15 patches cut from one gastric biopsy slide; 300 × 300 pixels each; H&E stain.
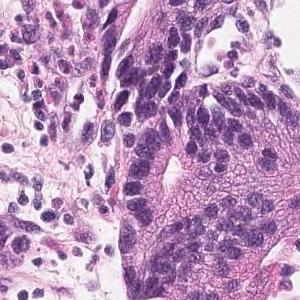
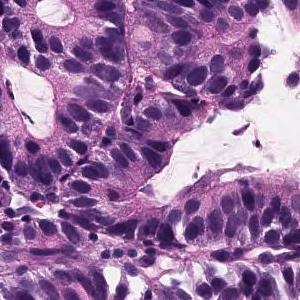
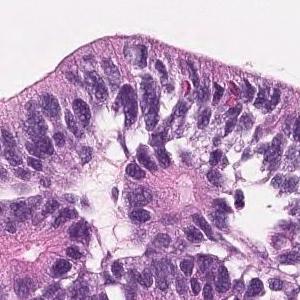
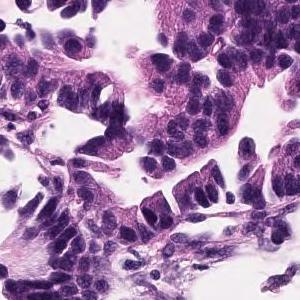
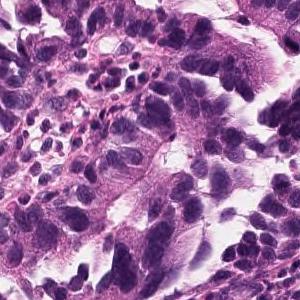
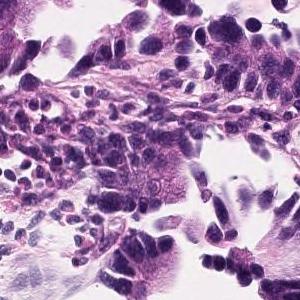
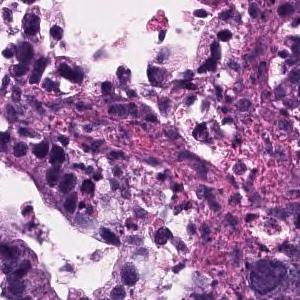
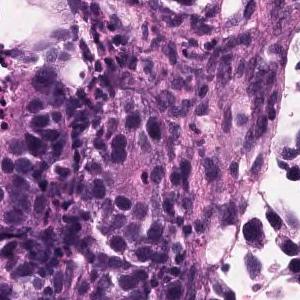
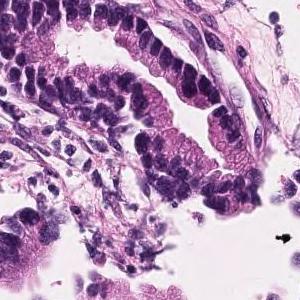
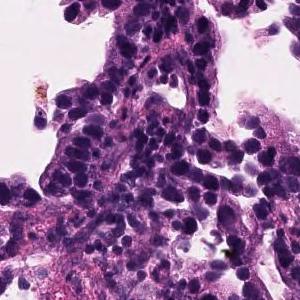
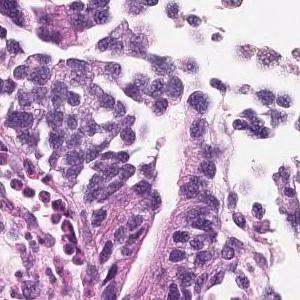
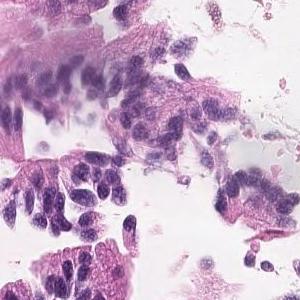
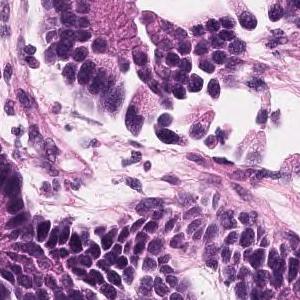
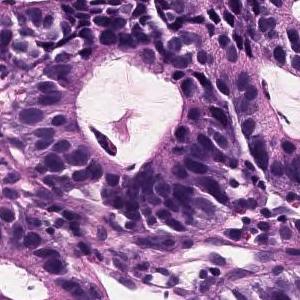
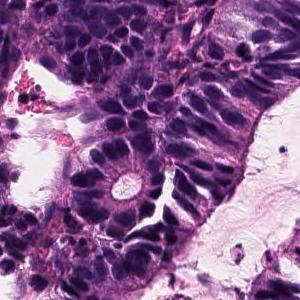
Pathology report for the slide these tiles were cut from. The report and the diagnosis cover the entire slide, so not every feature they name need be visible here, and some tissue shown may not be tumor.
In the superficial epithelium, tumor tissue that invades by forming medium-sized to small, irregular ducts is observed. moderately differentiated tubular adenocarcinoma.
